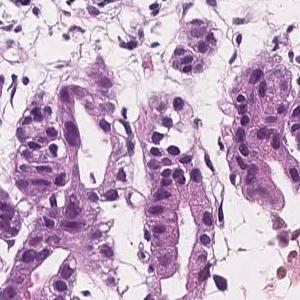
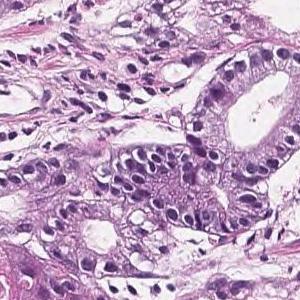
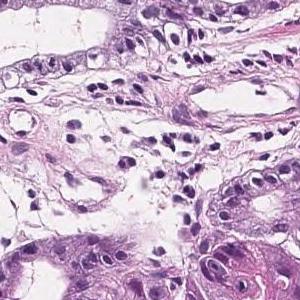
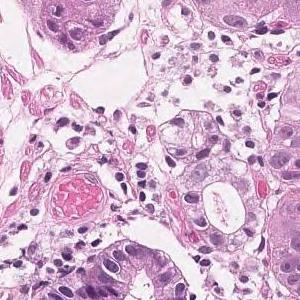
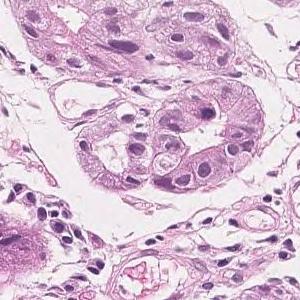
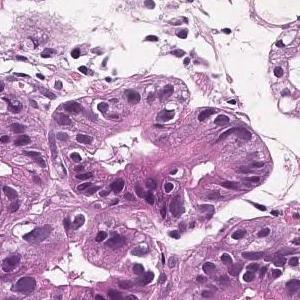
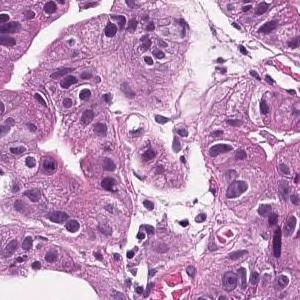
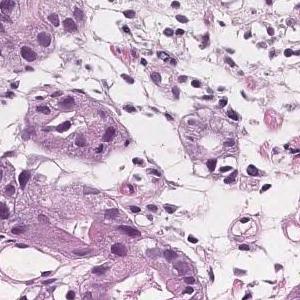
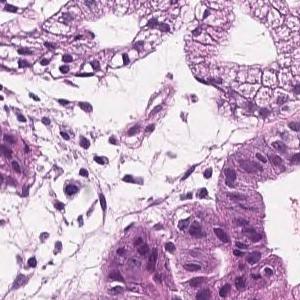
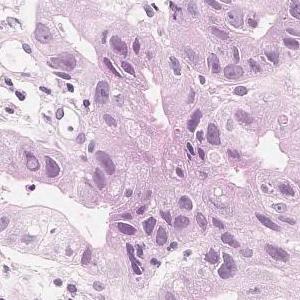
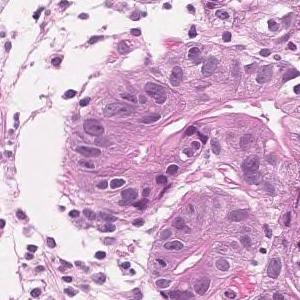
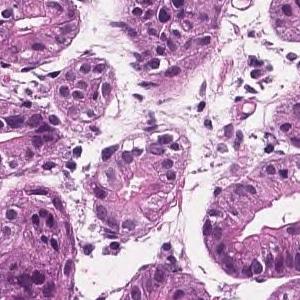
Hematoxylin and eosin stain, ×20, 12 image tiles from a single gastric biopsy slide, each 300 × 300 pixels.
Pathology report for the biopsy slide these tiles were cut from. The report and the diagnosis cover the entire slide, so not every feature they name need be visible here, and some tissue shown may not be tumor.
On the superficial epithelium, tumor tissue consisting of medium-sized and irregular gland ducts infiltrated is observed. Well differentiated tubular adenocarcinoma
